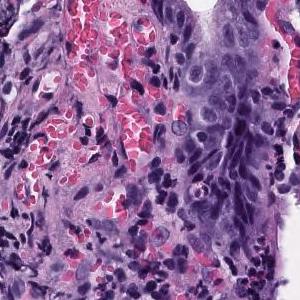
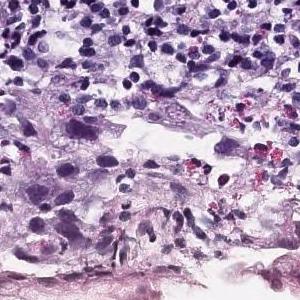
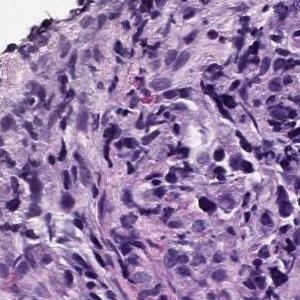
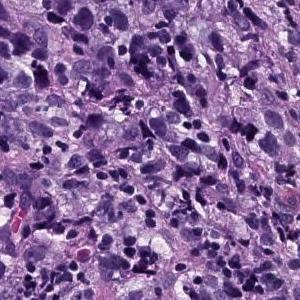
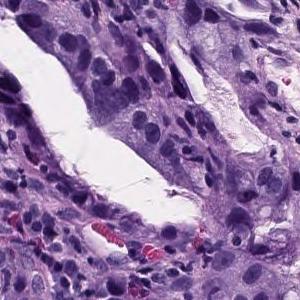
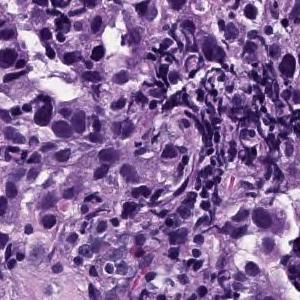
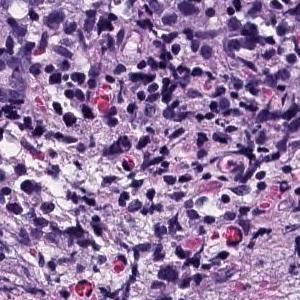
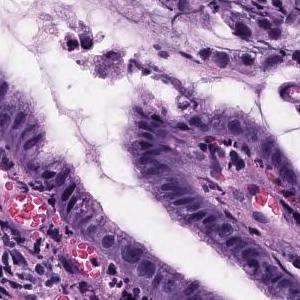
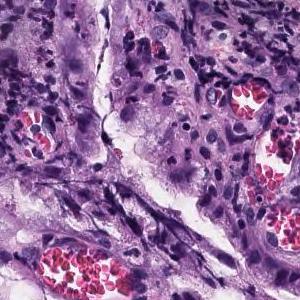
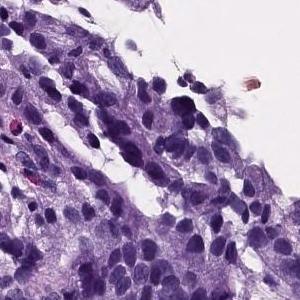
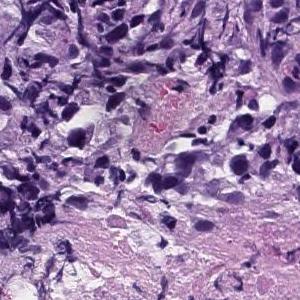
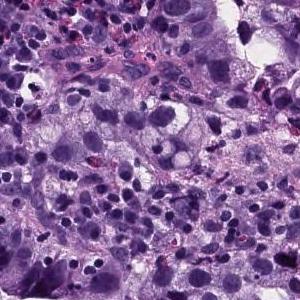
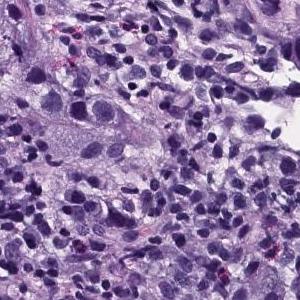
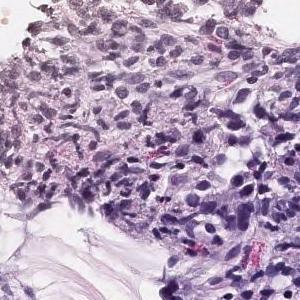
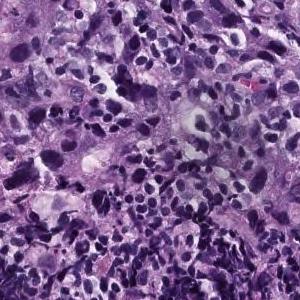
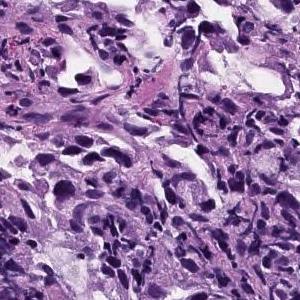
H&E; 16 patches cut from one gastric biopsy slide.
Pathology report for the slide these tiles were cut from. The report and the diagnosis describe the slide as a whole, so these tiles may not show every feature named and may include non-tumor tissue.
Atypical epithelial cells infiltrating and proliferating while forming solid or cord-like fused glandular cavities of different sizes is observed. moderately differentiated tubular adenocarcinoma, poorly differentiated adenocarcinoma.
Histologic type: Moderately to poorly differentiated adenocarcinoma.
